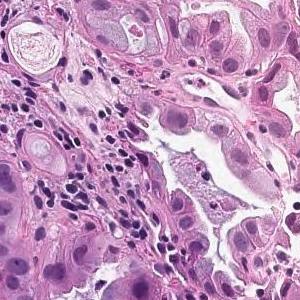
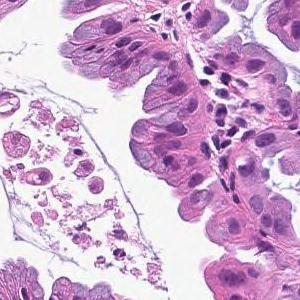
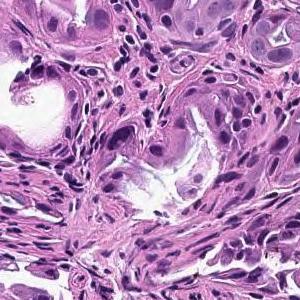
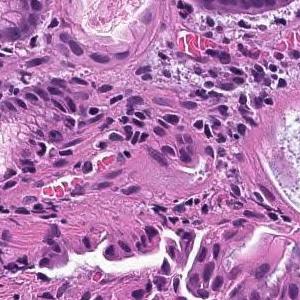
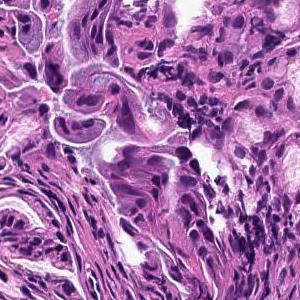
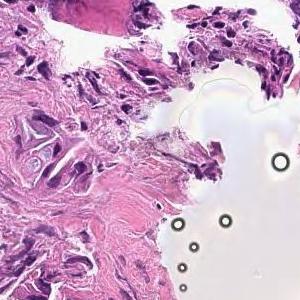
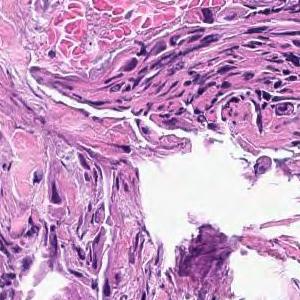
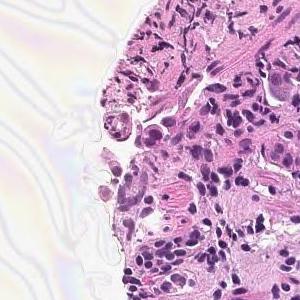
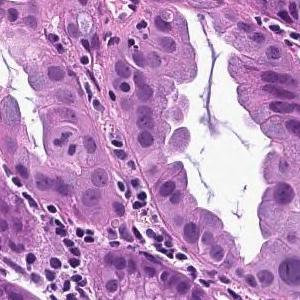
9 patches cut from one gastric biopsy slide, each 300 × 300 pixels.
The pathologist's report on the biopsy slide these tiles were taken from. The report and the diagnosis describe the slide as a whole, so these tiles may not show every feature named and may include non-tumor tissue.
From the superficial epithelium to the muscularis mucosae, tumor tissue consisting of medium-sized and irregular glandular ducts infiltrating is observed. Well differentiated tubular adenocarcinoma
